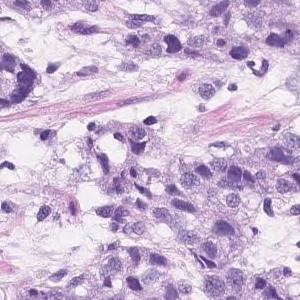
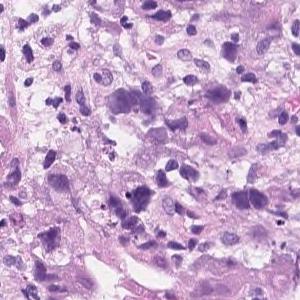
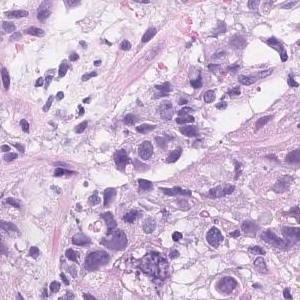
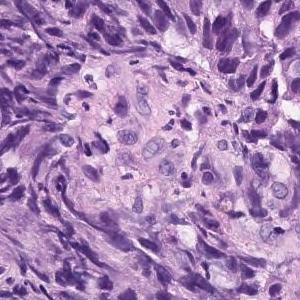
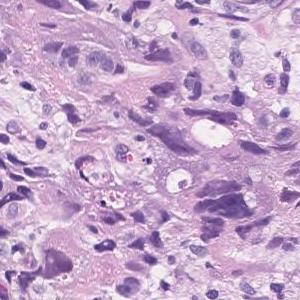
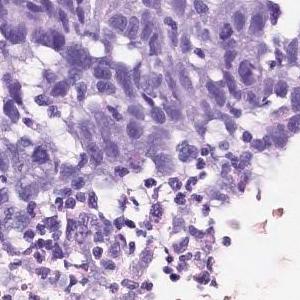
6 image tiles from a single gastric biopsy slide, 300 × 300 pixels each, hematoxylin and eosin stain.
The pathologist's report on the biopsy slide these tiles were taken from. Both the report and the diagnosis are for the whole slide: these tiles need not show every feature named, and some of the tissue shown may not be tumor.
Atypical epithelial cells infiltrating and proliferating diffusely or while forming vesicles is observed. Poorly differentiated adenocarcinoma (poorly differentiated adenocarcinoma, solid type moderately differentiated tubular adenocarcinoma)
Labeled in the dataset as poorly differentiated adenocarcinoma, solid type (Japanese Classification of Gastric Carcinoma). The WHO 2019 equivalent is tubular adenocarcinoma, poorly differentiated.
